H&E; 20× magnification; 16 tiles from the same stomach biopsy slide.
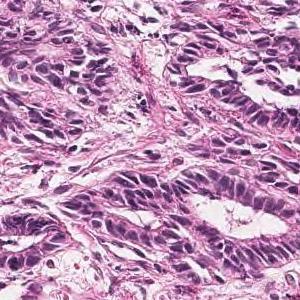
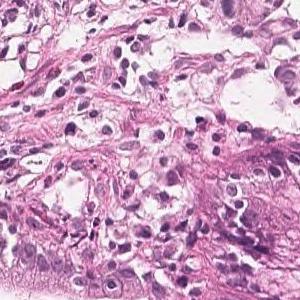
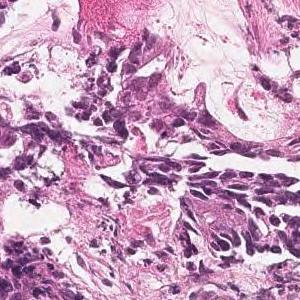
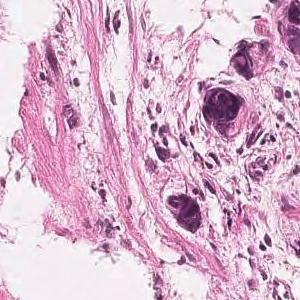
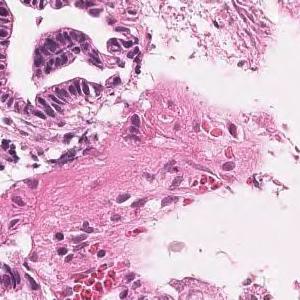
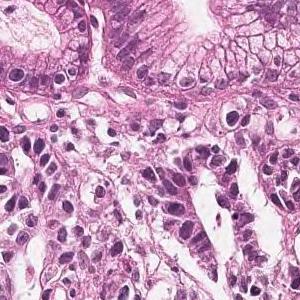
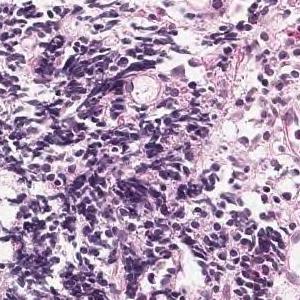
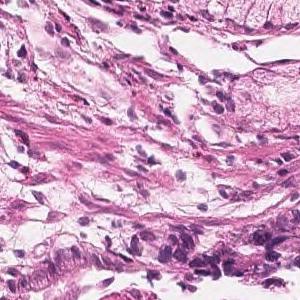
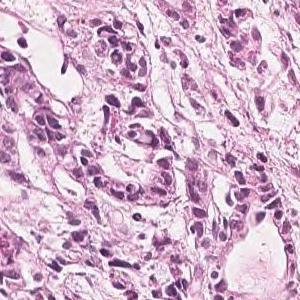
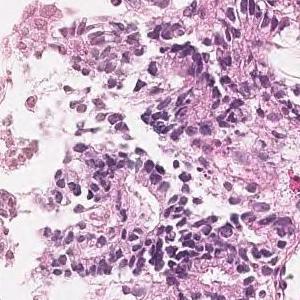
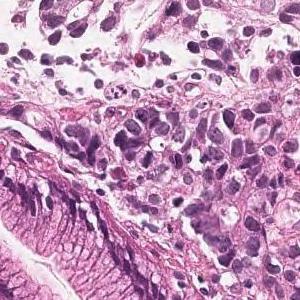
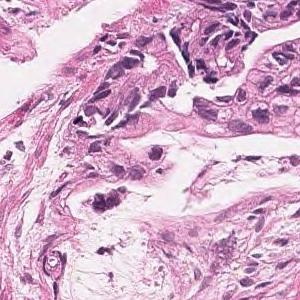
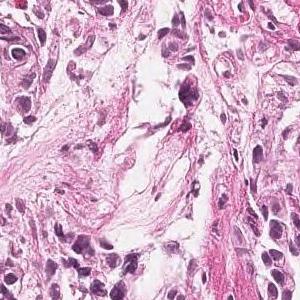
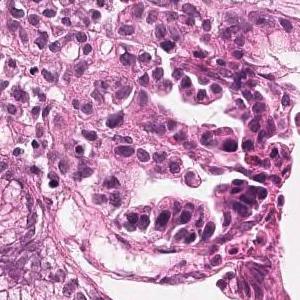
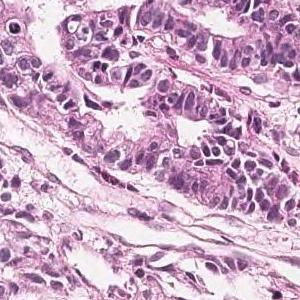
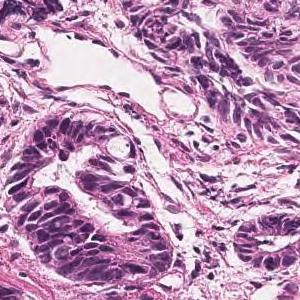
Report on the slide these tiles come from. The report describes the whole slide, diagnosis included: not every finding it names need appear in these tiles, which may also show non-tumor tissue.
On the superficial epithelium, tumor tissue consisting of large, irregular glandular ducts partially fused and infiltrated is observed. Well to moderately differentiated tubular adenocarcinoma (well differentiated tubular adenocarcinoma, moderately differentiated tubular adenocarcinoma)
Subtype: Well to moderately differentiated tubular adenocarcinoma.
